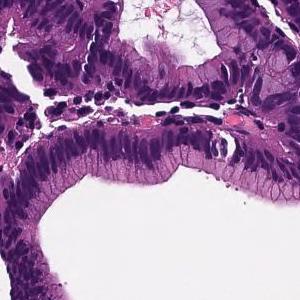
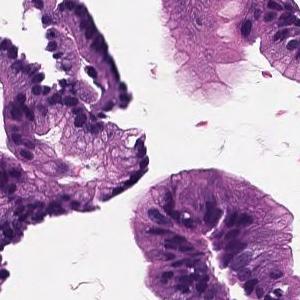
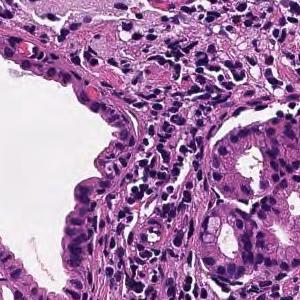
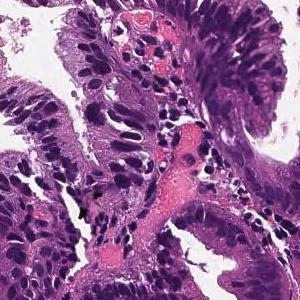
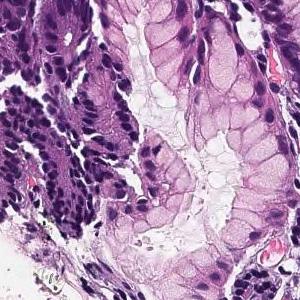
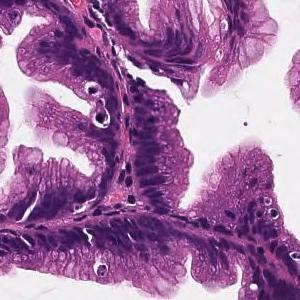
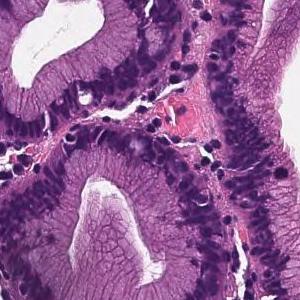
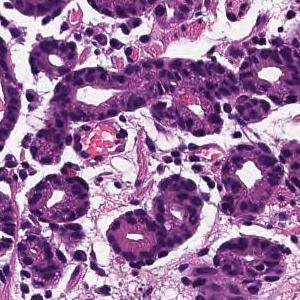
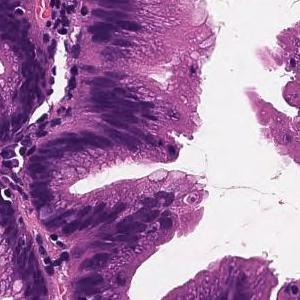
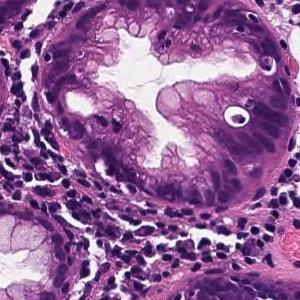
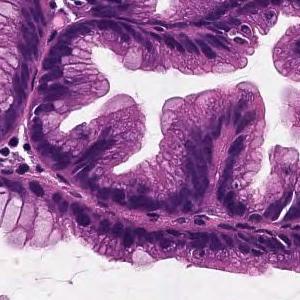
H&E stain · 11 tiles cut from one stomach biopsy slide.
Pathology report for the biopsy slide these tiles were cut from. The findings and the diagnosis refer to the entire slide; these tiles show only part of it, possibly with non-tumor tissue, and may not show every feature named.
Cells with elliptical or atypical nuclei form dense ducts with relatively clear growth. Well differentiated tubular adenocarcinoma
